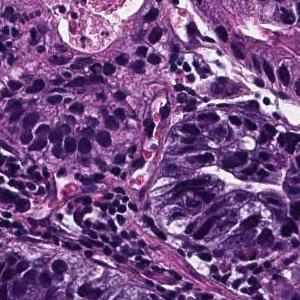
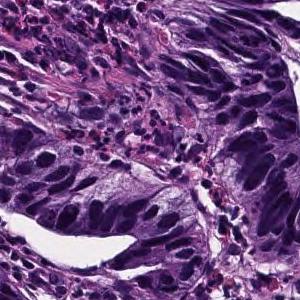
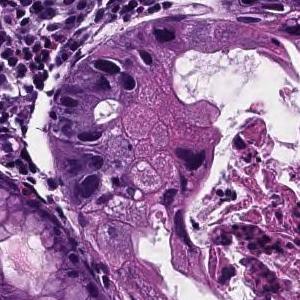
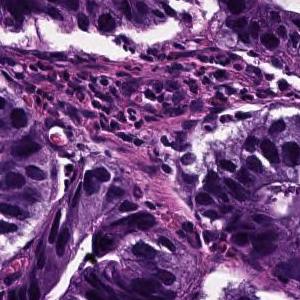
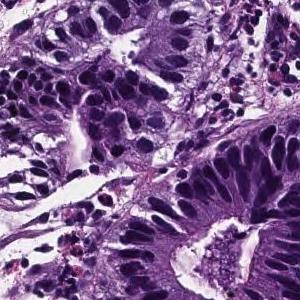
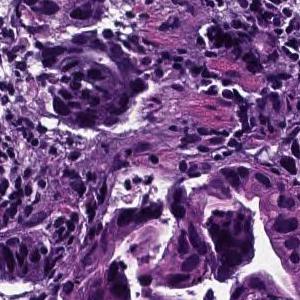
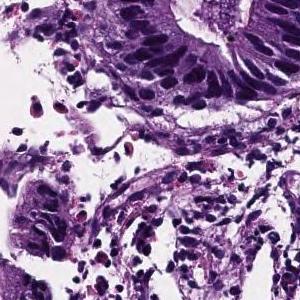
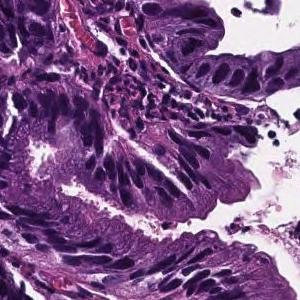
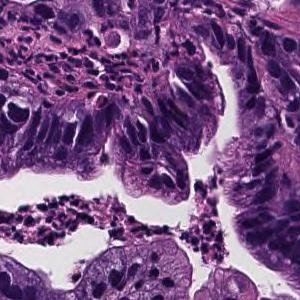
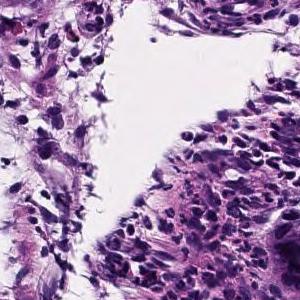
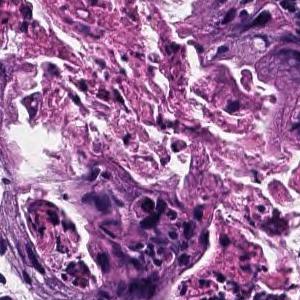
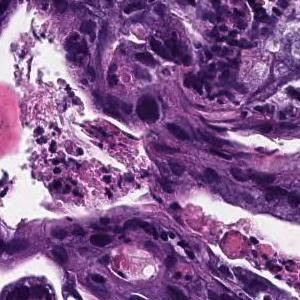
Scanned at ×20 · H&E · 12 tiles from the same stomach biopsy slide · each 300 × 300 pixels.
Diagnostic report for the slide these tiles come from. The report and the diagnosis cover the entire slide, so not every feature they name need be visible here, and some tissue shown may not be tumor.
In the superficial epithelium, tumor tissue that invades by forming medium-sized to small, irregular ducts is observed. Moderately differentiated adenocarcinoma.
Histologic type: Moderately differentiated tubular adenocarcinoma.
